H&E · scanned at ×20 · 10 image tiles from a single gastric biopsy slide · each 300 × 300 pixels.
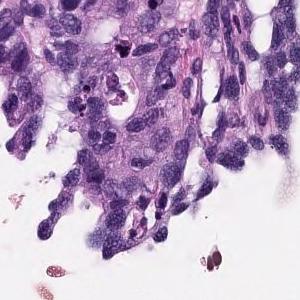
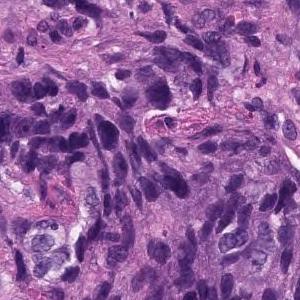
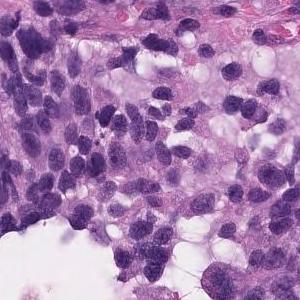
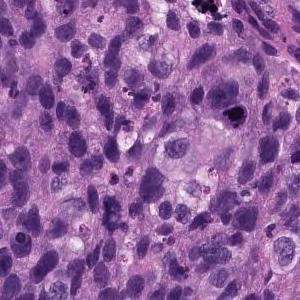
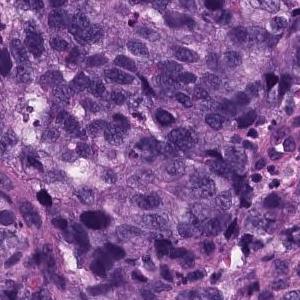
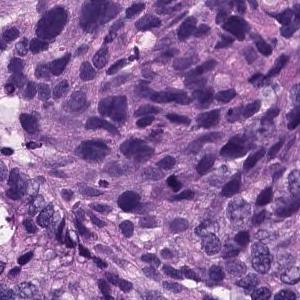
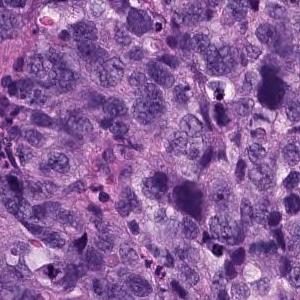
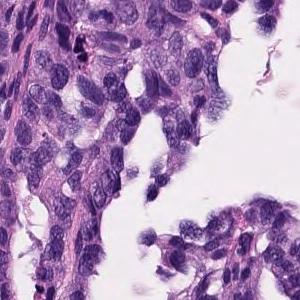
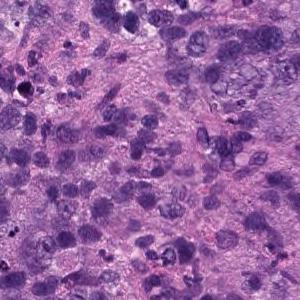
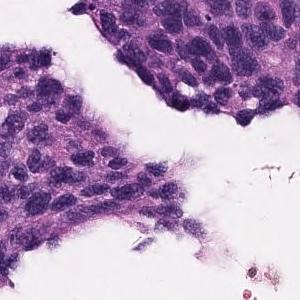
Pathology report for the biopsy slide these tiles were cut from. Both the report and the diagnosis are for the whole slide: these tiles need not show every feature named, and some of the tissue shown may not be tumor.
Atypical l cells with atypical nuclei under the mucosa growing in isolation and scattered. Poorly differentiated adenocarcinoma (poorly differentiated adenocarcinoma, non-solid type)
Subtype: Poorly differentiated adenocarcinoma, non-solid type.
"Non-solid type" is a category of the Japanese Classification of Gastric Carcinoma.
